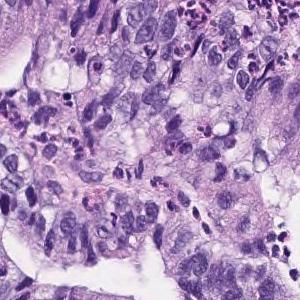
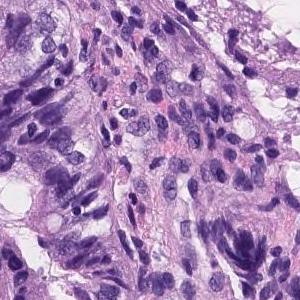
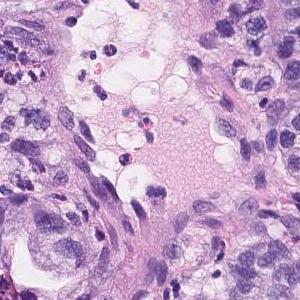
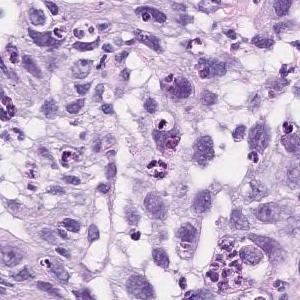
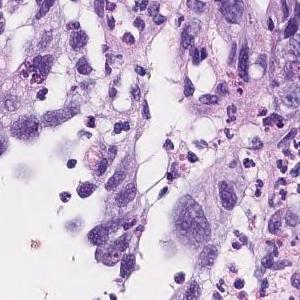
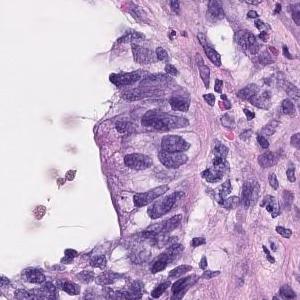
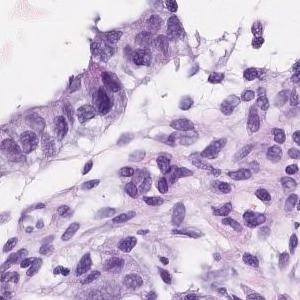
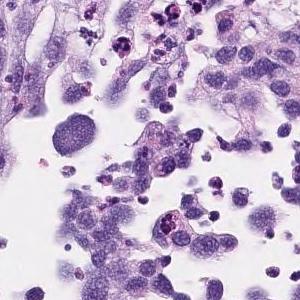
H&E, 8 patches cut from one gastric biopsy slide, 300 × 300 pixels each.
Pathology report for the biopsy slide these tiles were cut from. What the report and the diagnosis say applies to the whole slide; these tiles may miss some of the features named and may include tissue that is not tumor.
Tumor cells are large, highly columnar, large club-shaped nuclei, and are associated with chromatin aggregation. Papillary adenocarcinoma.
